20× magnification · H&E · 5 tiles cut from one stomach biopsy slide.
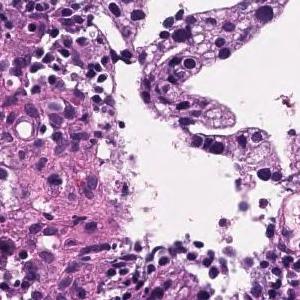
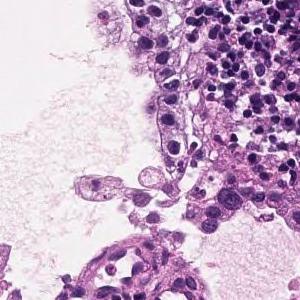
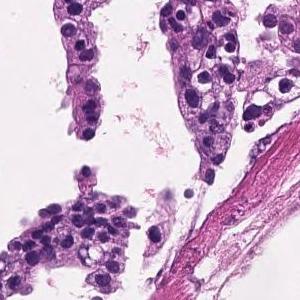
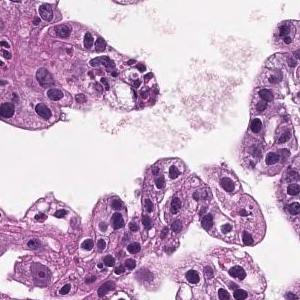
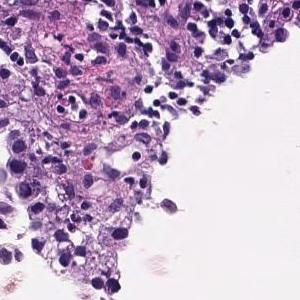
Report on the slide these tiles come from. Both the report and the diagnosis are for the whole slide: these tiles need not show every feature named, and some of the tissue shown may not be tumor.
On the superficial epithelium, tumor tissue that infiltrates by forming medium-sized papillary or small irregular ducts is observed. Papillary adenocarcinoma
